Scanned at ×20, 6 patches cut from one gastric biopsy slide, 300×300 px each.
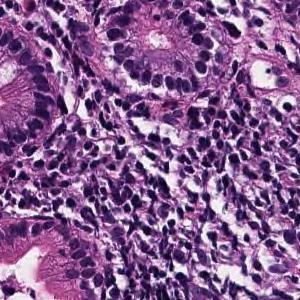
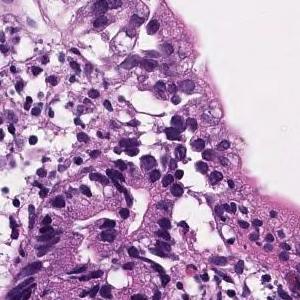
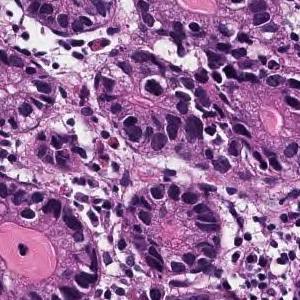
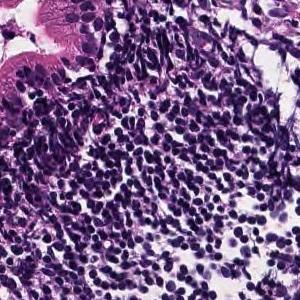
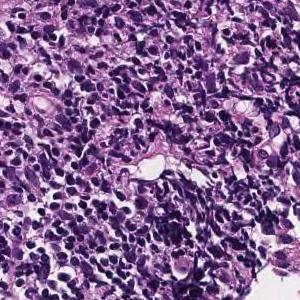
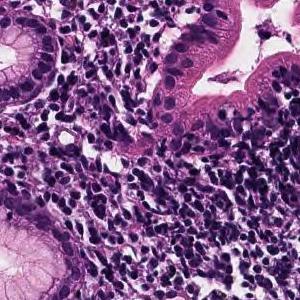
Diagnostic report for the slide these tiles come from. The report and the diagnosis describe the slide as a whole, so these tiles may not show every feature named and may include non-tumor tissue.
From the superficial epithelium to the muscularis mucosae, tumor tissue consisting of medium-sized and irregular glandular ducts infiltrating is observed. Well differentiated tubular adenocarcinoma
